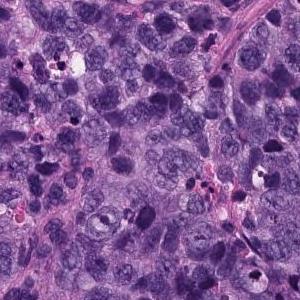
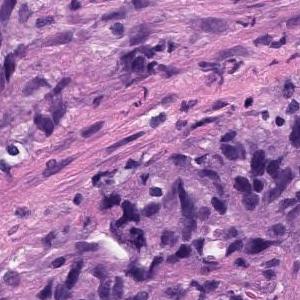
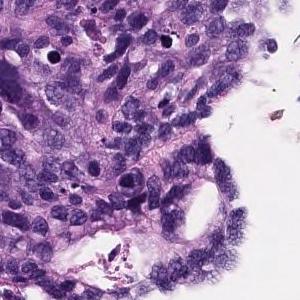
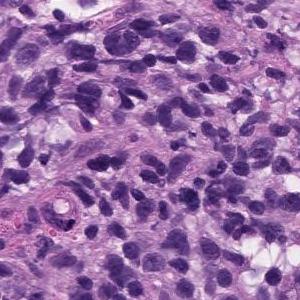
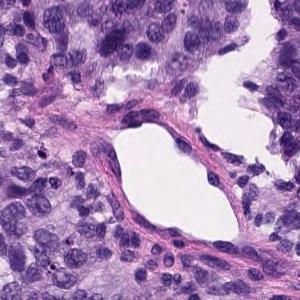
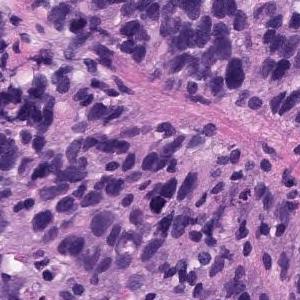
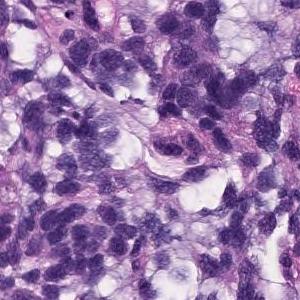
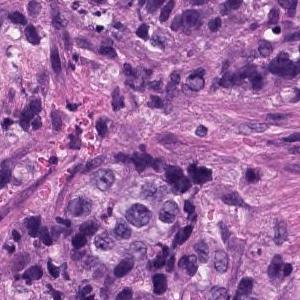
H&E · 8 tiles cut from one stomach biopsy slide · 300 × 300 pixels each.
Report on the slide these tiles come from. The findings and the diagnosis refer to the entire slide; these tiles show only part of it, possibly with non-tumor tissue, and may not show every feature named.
Atypical l cells with atypical nuclei under the mucosa growing in isolation and scattered. Poorly differentiated adenocarcinoma (poorly differentiated adenocarcinoma, non-solid type)
Classified as poorly differentiated adenocarcinoma, non-solid type.
"Non-solid type" is a category of the Japanese Classification of Gastric Carcinoma.
